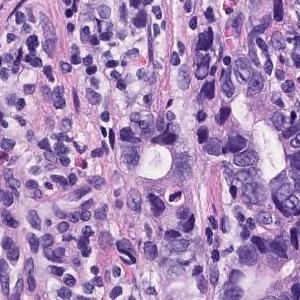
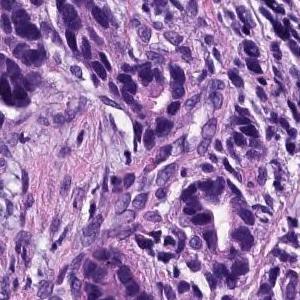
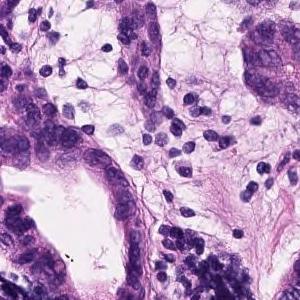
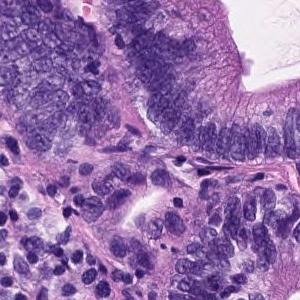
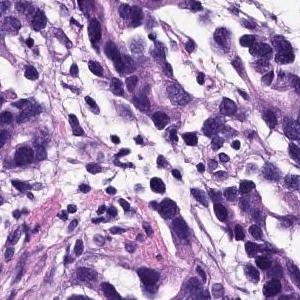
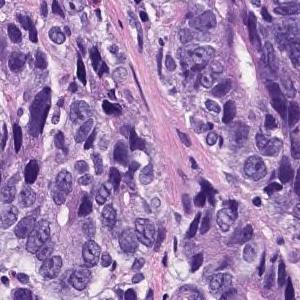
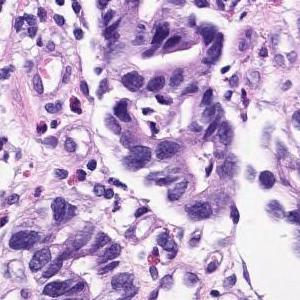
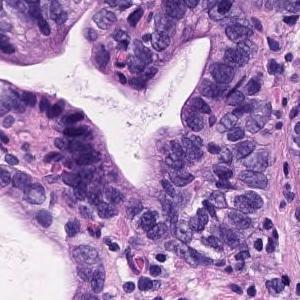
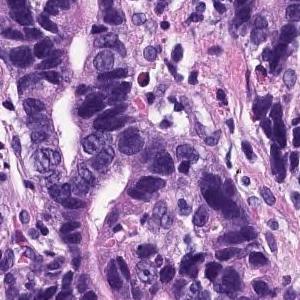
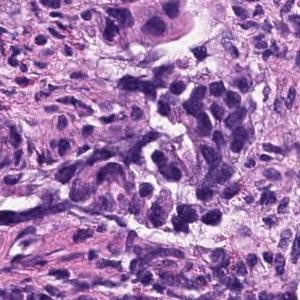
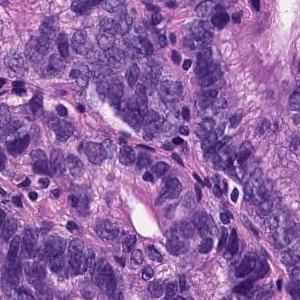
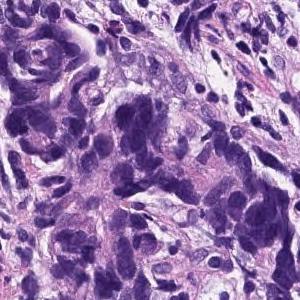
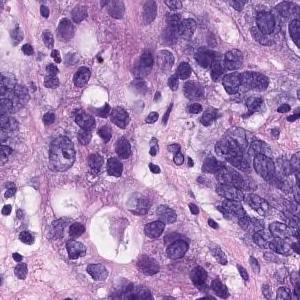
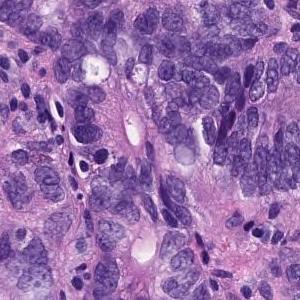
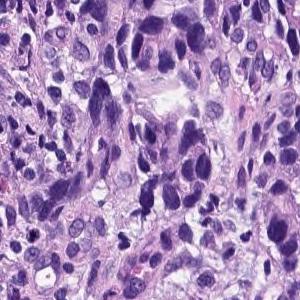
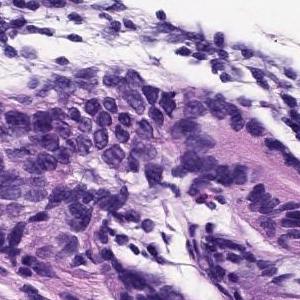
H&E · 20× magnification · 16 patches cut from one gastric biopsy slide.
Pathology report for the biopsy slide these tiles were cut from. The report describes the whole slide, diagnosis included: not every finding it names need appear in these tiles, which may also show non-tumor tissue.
On the superficial epithelium, tumor tissue consisting of images showing invasive growth with small, irregular tubules partially fused is observed. moderately differentiated tubular adenocarcinoma
